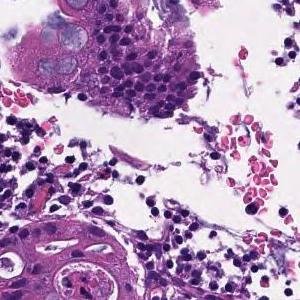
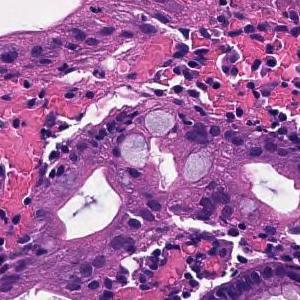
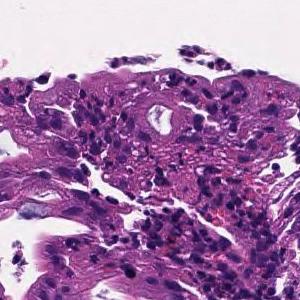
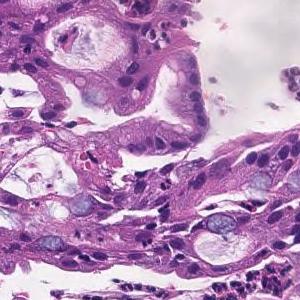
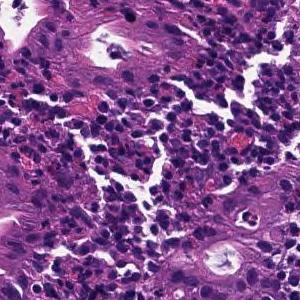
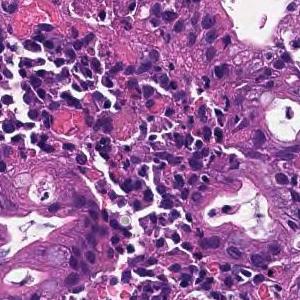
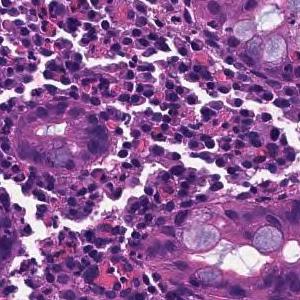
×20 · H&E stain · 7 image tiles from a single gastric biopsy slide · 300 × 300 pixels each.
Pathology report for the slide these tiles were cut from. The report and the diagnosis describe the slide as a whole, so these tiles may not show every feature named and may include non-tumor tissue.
In the superficial epithelium, tumor tissue that invades by forming medium-sized to small, irregular ducts is observed. moderately differentiated tubular adenocarcinoma.
